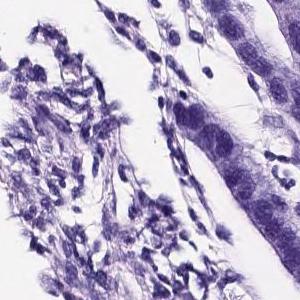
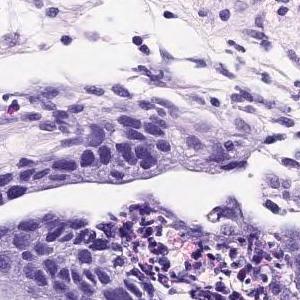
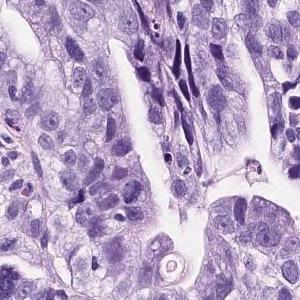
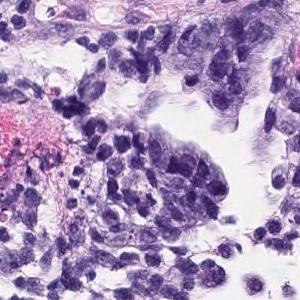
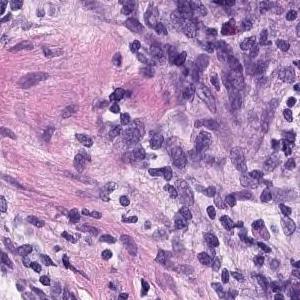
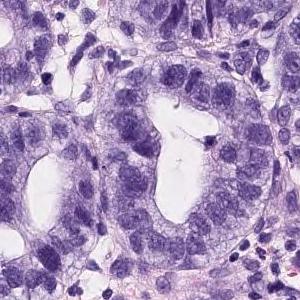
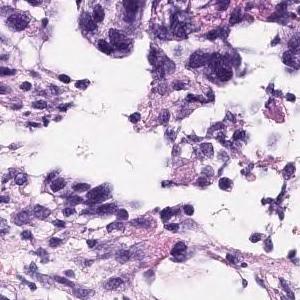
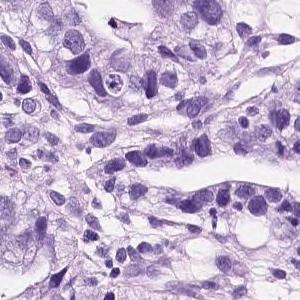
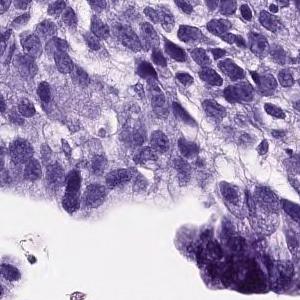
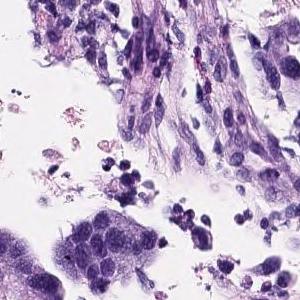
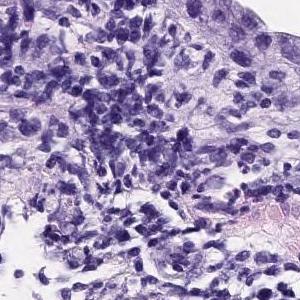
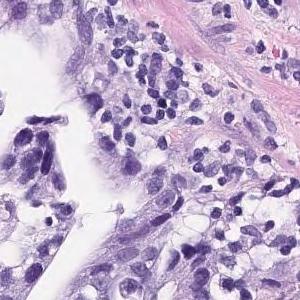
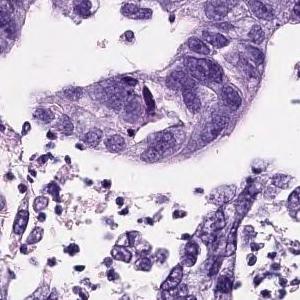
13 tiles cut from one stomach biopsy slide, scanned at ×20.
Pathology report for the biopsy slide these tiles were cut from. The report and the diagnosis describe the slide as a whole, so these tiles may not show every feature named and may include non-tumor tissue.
On the superficial epithelium, tumor tissue consisting of medium to small irregular tubules partially fused and proliferated is observed. moderately differentiated tubular adenocarcinoma
